Hematoxylin and eosin stain · 5 image tiles from a single gastric biopsy slide · 300×300 px each.
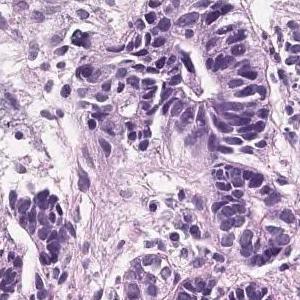
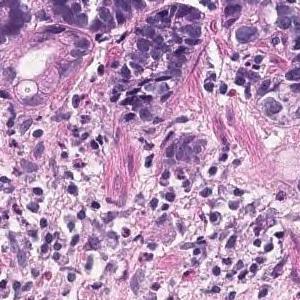
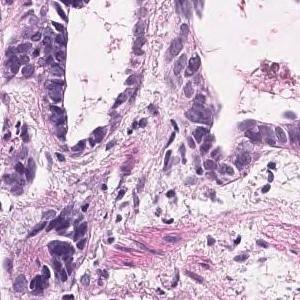
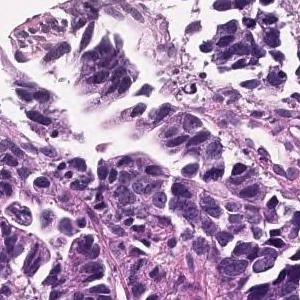
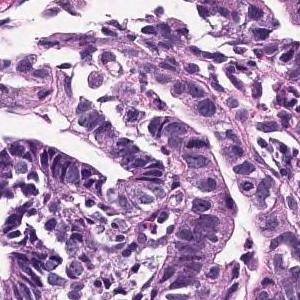
Report on the slide these tiles come from. The report describes the whole slide, diagnosis included: not every finding it names need appear in these tiles, which may also show non-tumor tissue.
In the superficial epithelium, tumor tissue that invades by forming medium-sized to small, irregular ducts is observed. Well differentiated tubular adenocarcinoma.
